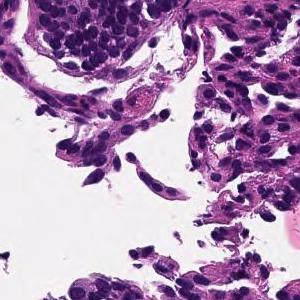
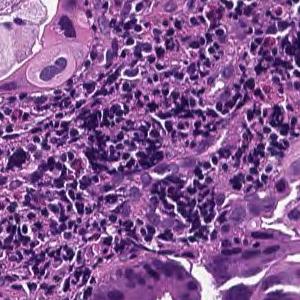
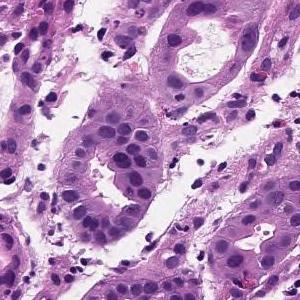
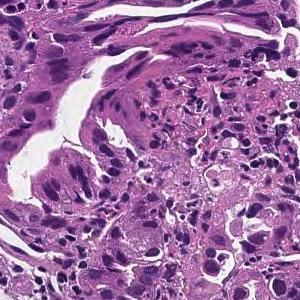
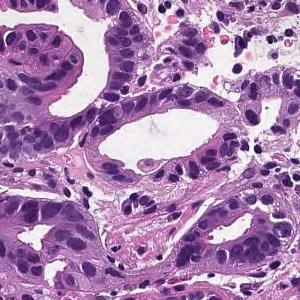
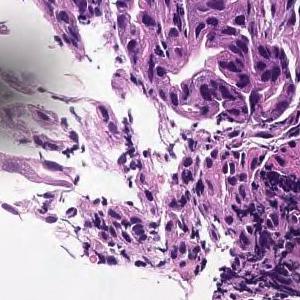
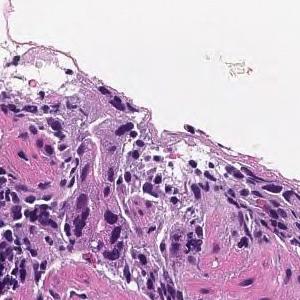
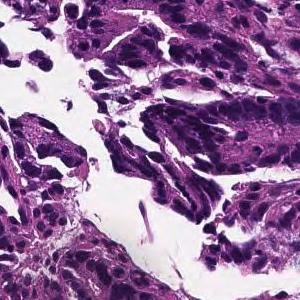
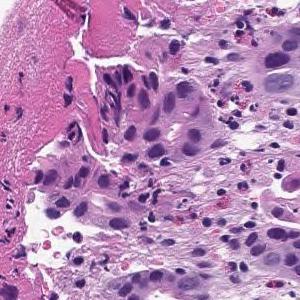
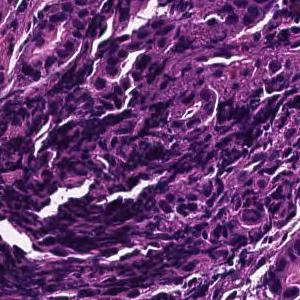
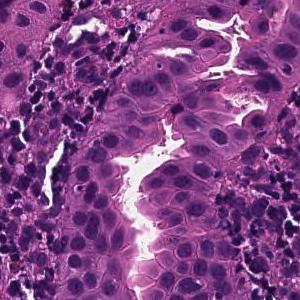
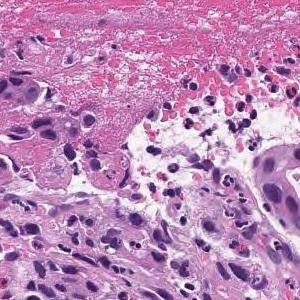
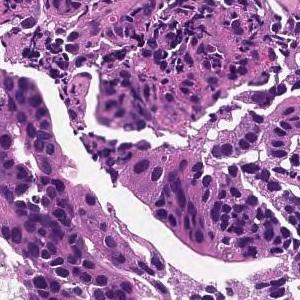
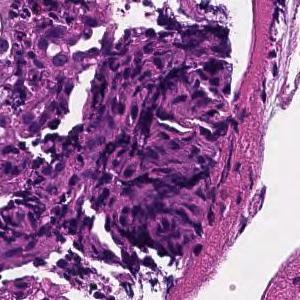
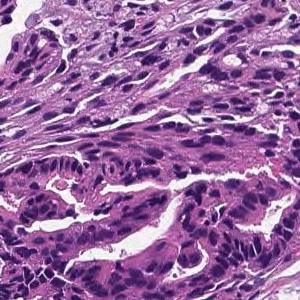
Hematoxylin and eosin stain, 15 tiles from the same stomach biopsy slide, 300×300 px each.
Report on the slide these tiles come from. What the report and the diagnosis say applies to the whole slide; these tiles may miss some of the features named and may include tissue that is not tumor.
In the superficial epithelium, tumor tissue that invades by forming medium-sized to small, irregular ducts is observed. moderately differentiated tubular adenocarcinoma.
